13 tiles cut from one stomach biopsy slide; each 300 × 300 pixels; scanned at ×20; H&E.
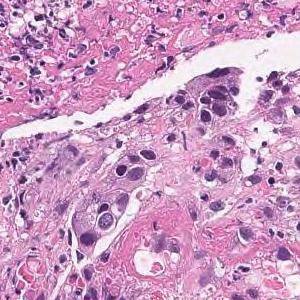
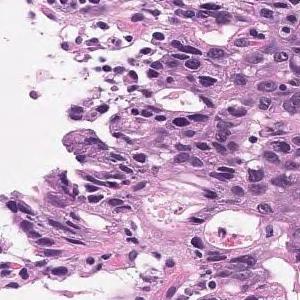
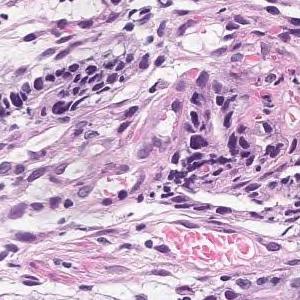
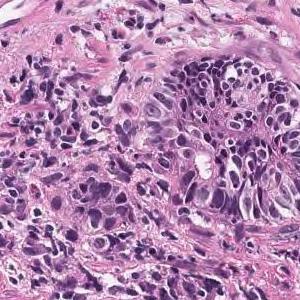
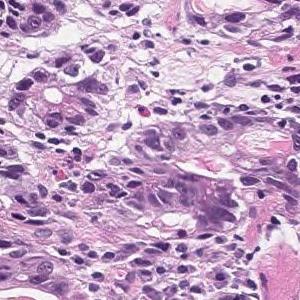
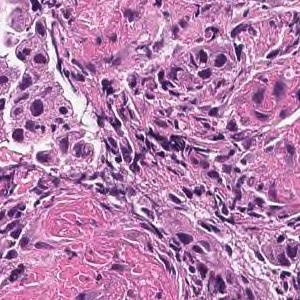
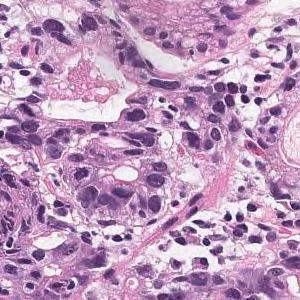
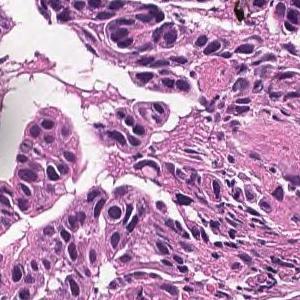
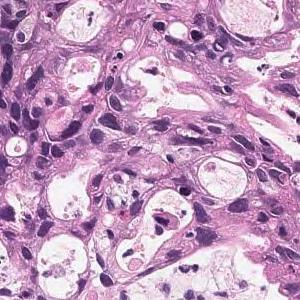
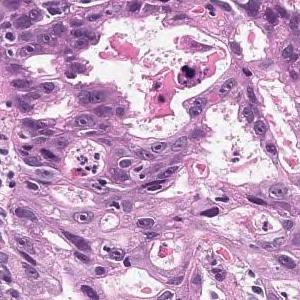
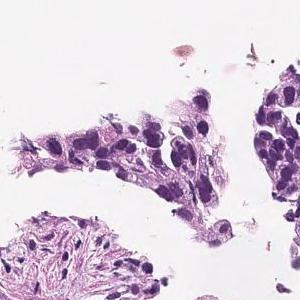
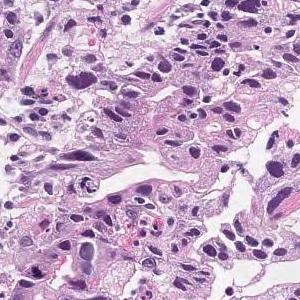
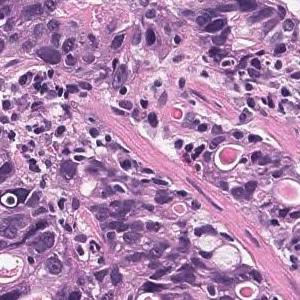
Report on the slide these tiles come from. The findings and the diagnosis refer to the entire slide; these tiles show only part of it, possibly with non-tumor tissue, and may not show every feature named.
Tumor cells are large, highly columnar, large club-shaped nuclei, and are associated with chromatin aggregation. Papillary adenocarcinoma.
